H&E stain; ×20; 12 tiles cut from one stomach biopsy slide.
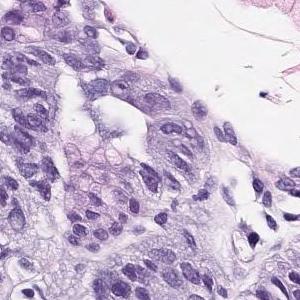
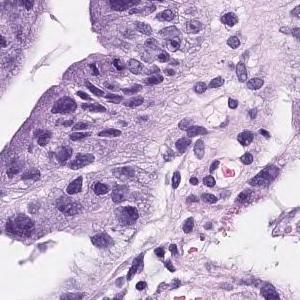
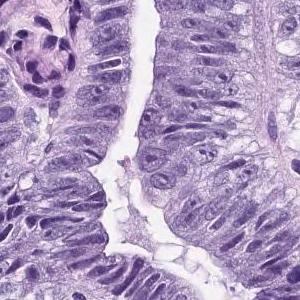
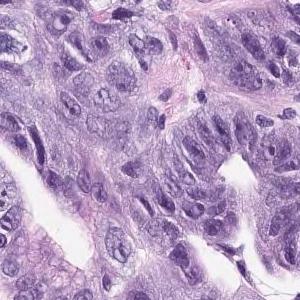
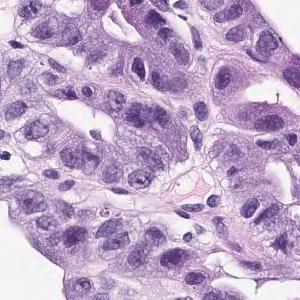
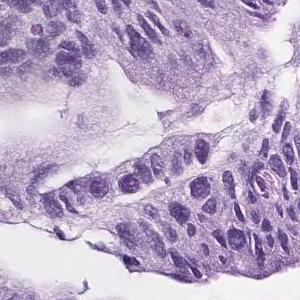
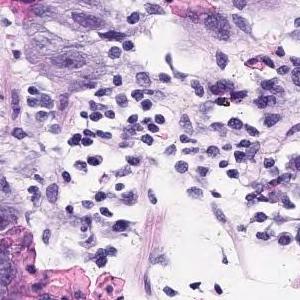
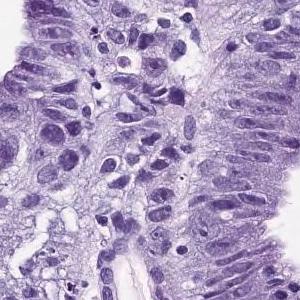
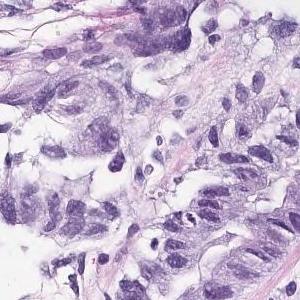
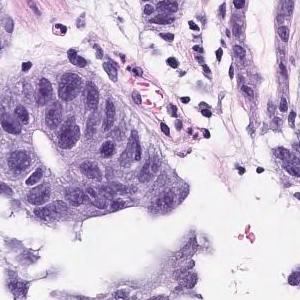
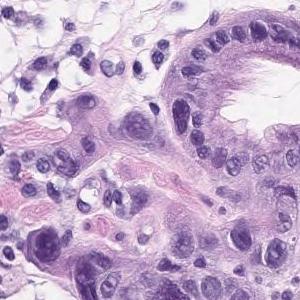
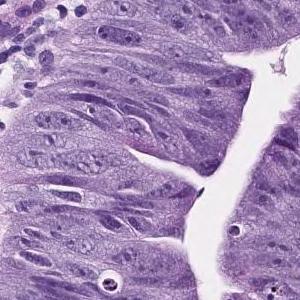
Report on the slide these tiles come from. The report and the diagnosis describe the slide as a whole, so these tiles may not show every feature named and may include non-tumor tissue.
In the superficial epithelium, tumor tissue that invades by forming medium-sized to small, irregular ducts is observed. Moderately differentiated adenocarcinoma.
Histological subtype: Moderately differentiated tubular adenocarcinoma.
